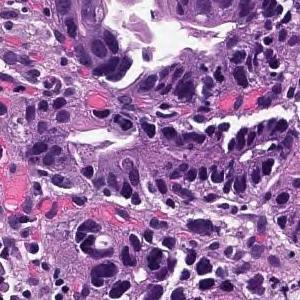
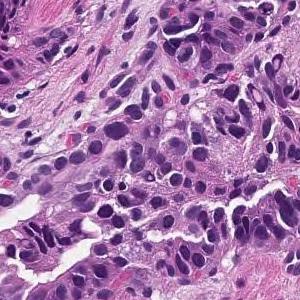
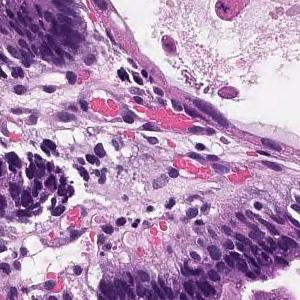
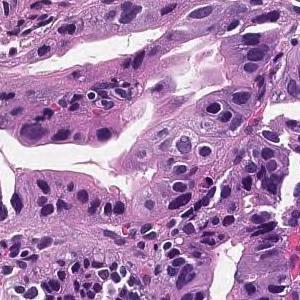
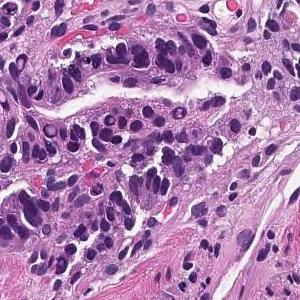
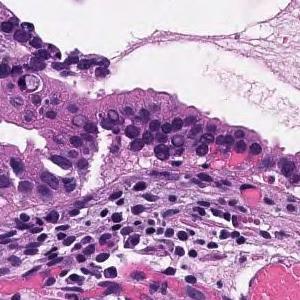
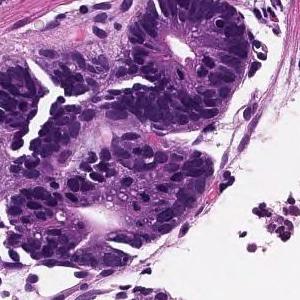
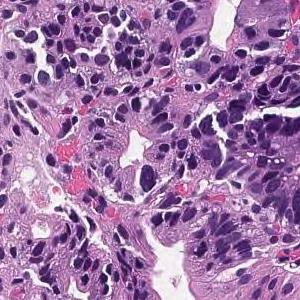
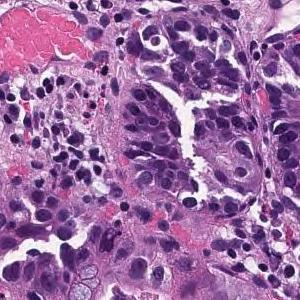
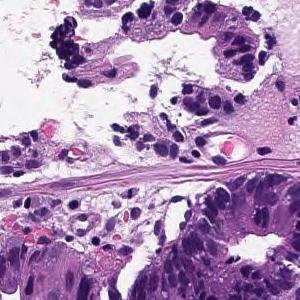
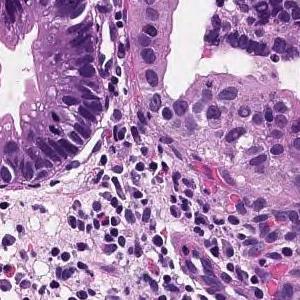
×20 · hematoxylin and eosin stain · 11 tiles cut from one stomach biopsy slide.
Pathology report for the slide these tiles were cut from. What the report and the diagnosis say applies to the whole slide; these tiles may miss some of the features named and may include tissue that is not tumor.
From the superficial epithelium to the muscularis mucosae, tumor tissue consisting of medium-sized and irregular glandular ducts infiltrating is observed. Well differentiated tubular adenocarcinoma
